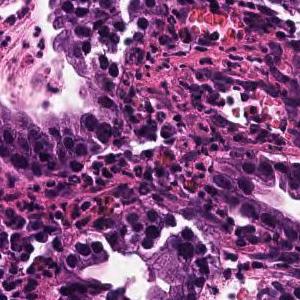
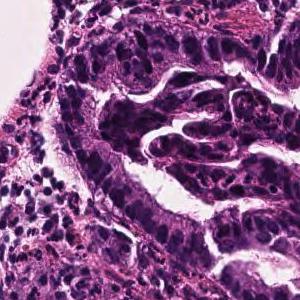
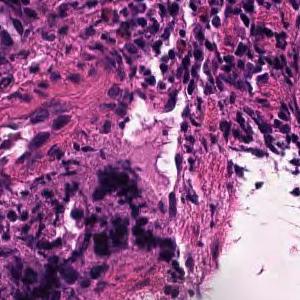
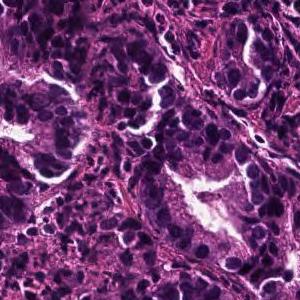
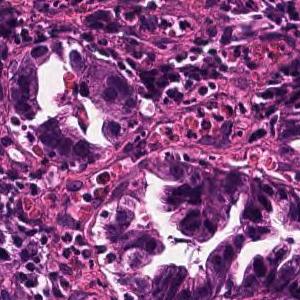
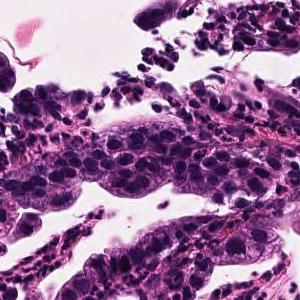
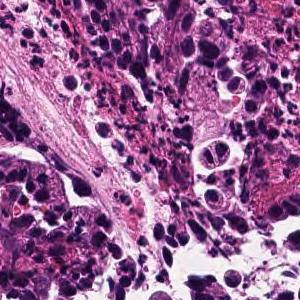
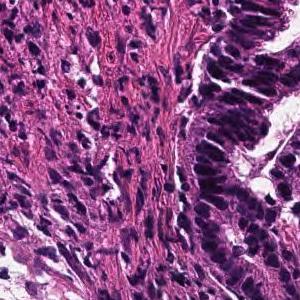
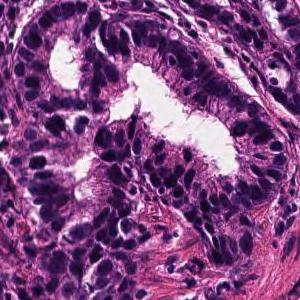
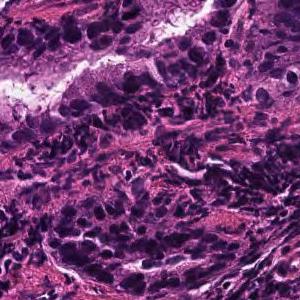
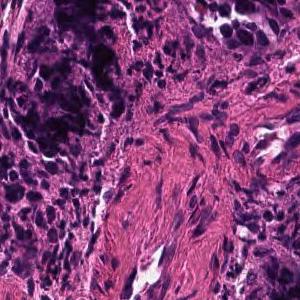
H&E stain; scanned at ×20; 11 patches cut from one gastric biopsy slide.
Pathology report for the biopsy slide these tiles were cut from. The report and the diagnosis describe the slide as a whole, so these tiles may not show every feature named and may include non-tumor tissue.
Tumor tissue consisting of large papillary structures is found in the superficial epithelium. Papillary adenocarcinoma.
